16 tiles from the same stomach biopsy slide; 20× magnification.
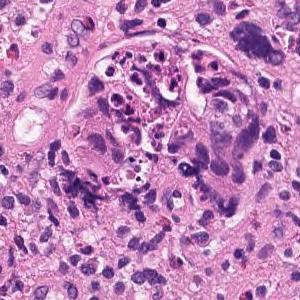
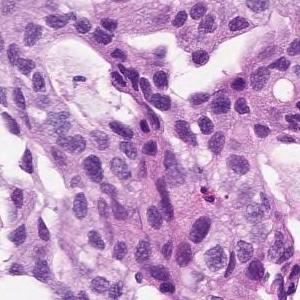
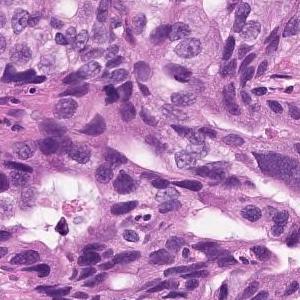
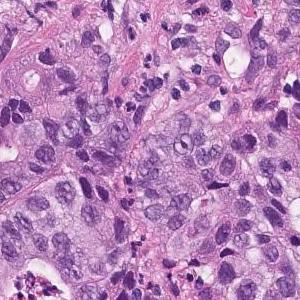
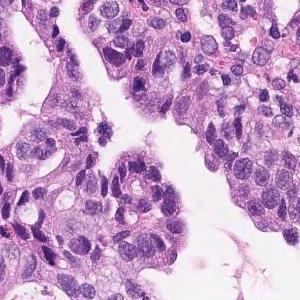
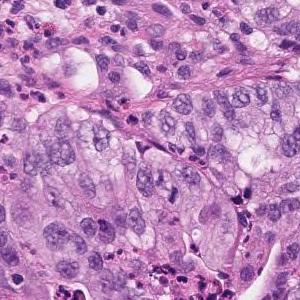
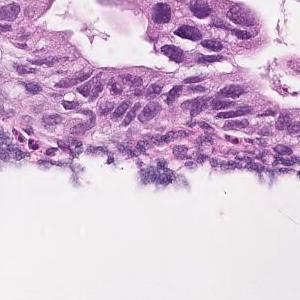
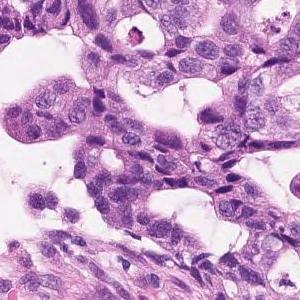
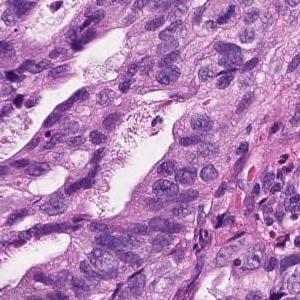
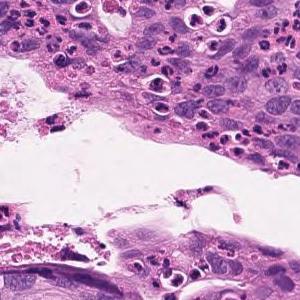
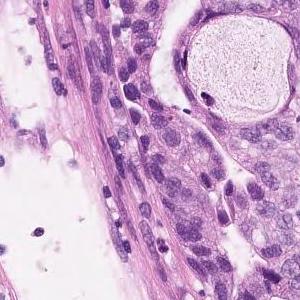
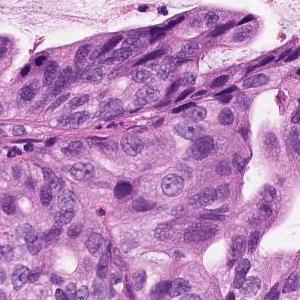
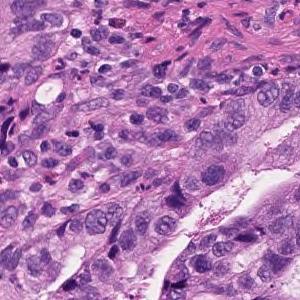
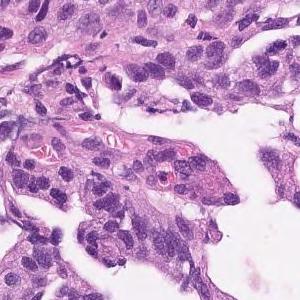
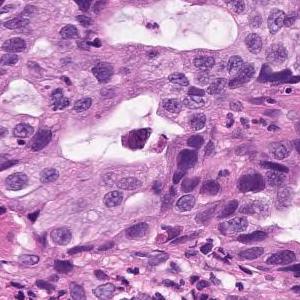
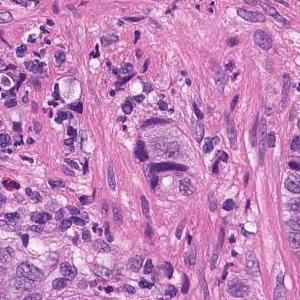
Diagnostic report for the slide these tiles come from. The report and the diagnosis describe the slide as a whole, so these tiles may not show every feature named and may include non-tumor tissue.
Atypical epithelium forming papillary or sieving ducts and infiltrating growth is observed. Papillary adenocarcinoma.
